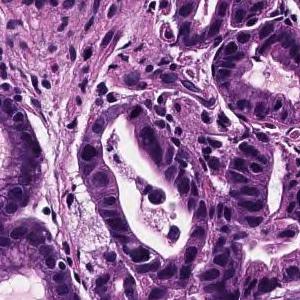
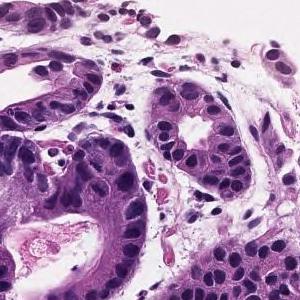
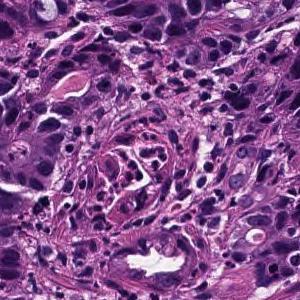
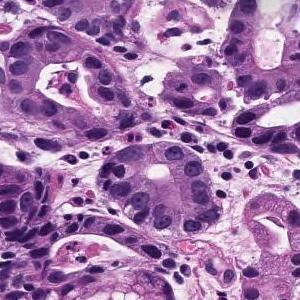
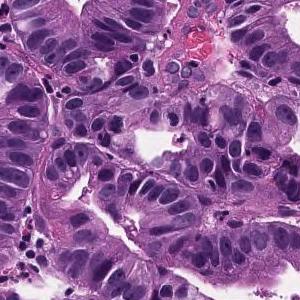
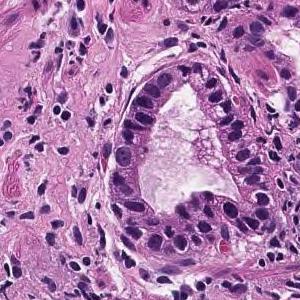
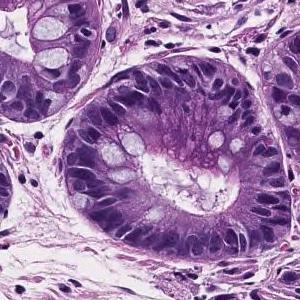
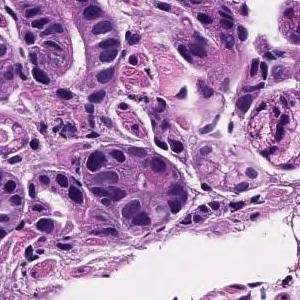
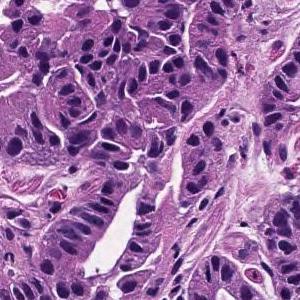
9 tiles cut from one stomach biopsy slide; each 300 × 300 pixels; H&E stain; 20× magnification.
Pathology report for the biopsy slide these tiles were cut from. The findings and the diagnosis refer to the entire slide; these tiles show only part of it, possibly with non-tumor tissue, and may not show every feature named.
In the superficial epithelium, tumor tissue that invades by forming medium-sized to small, irregular ducts is observed. Well differentiated tubular adenocarcinoma.
